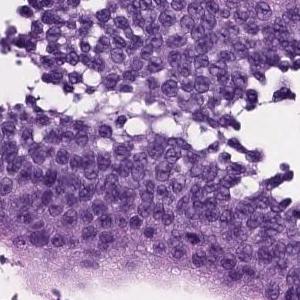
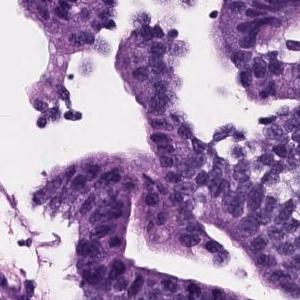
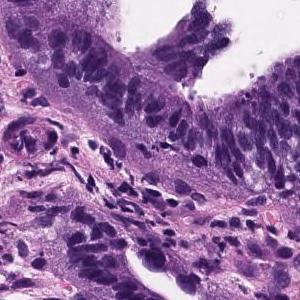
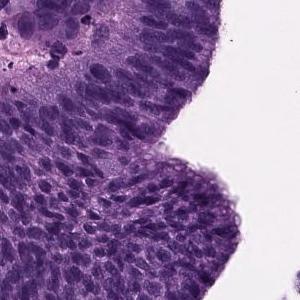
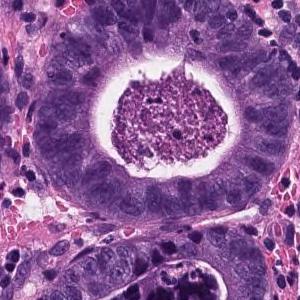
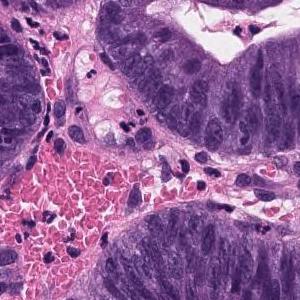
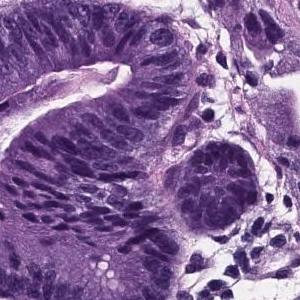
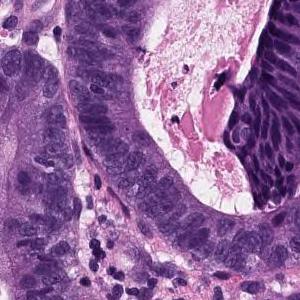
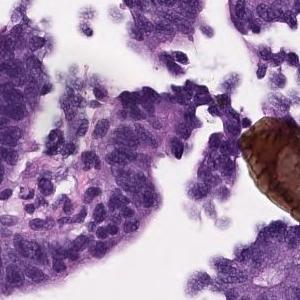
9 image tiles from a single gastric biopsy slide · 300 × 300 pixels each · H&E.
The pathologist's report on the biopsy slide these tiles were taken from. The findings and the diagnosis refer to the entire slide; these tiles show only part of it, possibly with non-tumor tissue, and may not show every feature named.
Papillo-tubular growth of atypical tubules with nuclear swelling is observed. Well differentiated tubular adenocarcinoma
